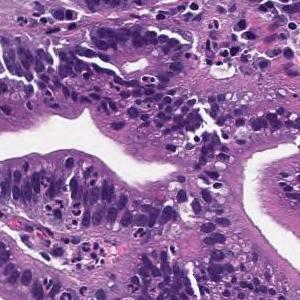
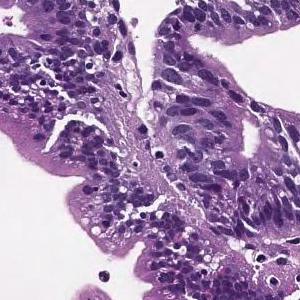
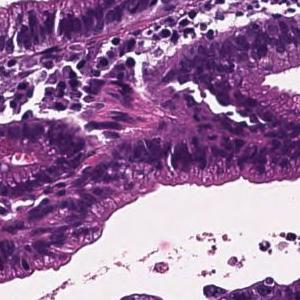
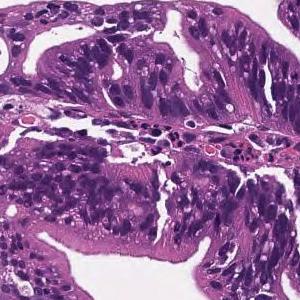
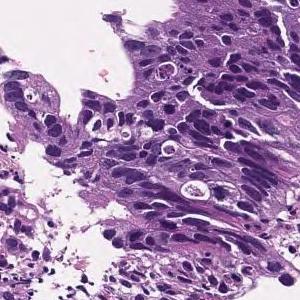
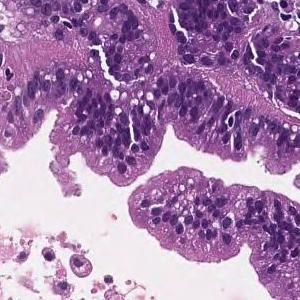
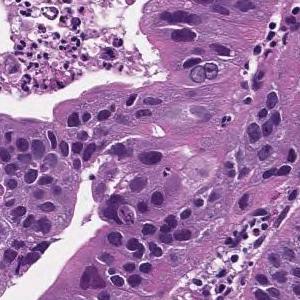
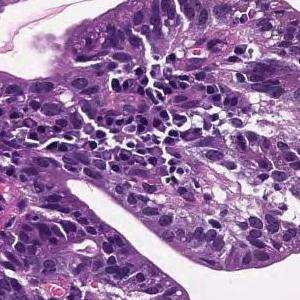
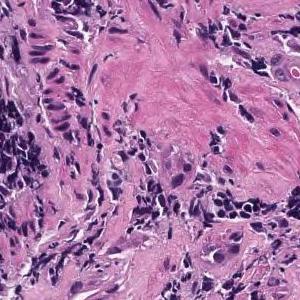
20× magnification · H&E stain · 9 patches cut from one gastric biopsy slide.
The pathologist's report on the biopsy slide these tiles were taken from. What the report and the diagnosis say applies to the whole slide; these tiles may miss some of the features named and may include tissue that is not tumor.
Tumor cells are large, highly columnar, large club-shaped nuclei, and are associated with chromatin aggregation. Papillary adenocarcinoma.
